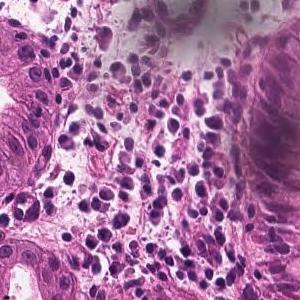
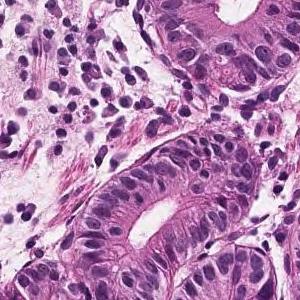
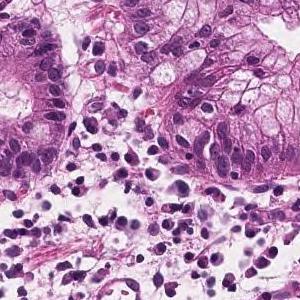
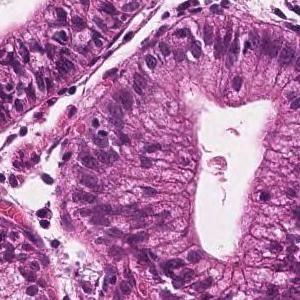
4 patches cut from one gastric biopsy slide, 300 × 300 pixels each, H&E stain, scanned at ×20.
Diagnostic report for the slide these tiles come from. What the report and the diagnosis say applies to the whole slide; these tiles may miss some of the features named and may include tissue that is not tumor.
In the superficial epithelium, tumor tissue that invades by forming medium-sized to small, irregular ducts is observed. Well differentiated tubular adenocarcinoma.
